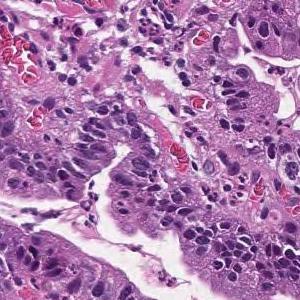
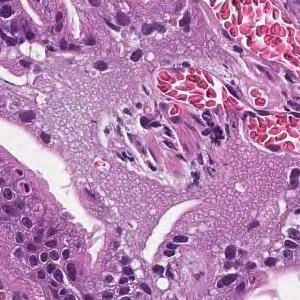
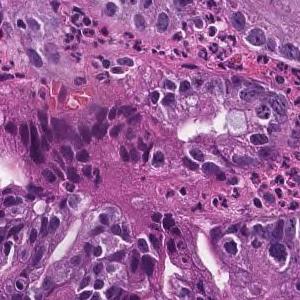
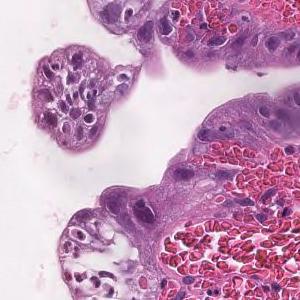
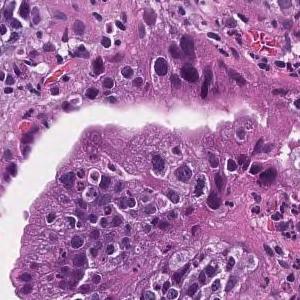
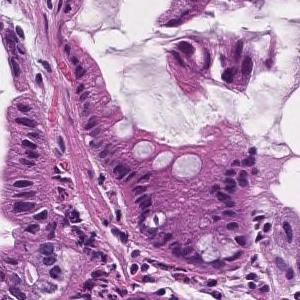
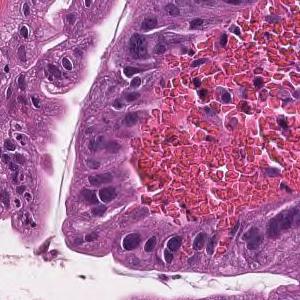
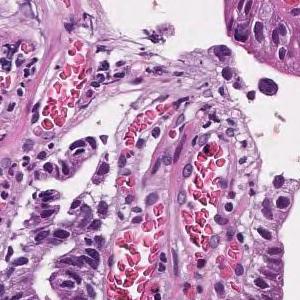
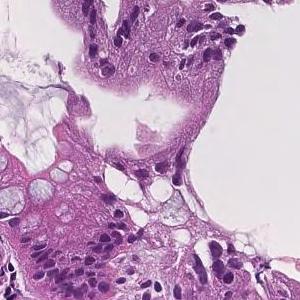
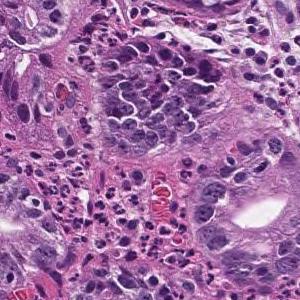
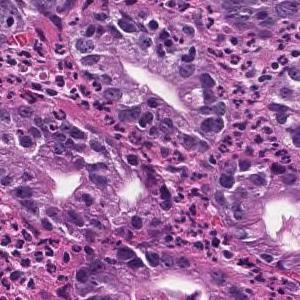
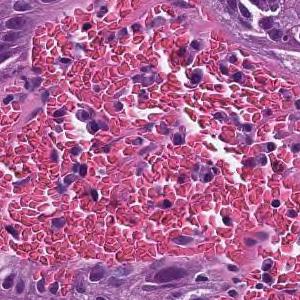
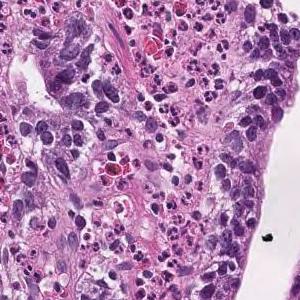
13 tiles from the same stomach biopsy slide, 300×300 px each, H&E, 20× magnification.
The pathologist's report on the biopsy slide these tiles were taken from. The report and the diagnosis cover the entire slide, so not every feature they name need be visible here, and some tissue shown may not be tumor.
Tumor cells are large, highly columnar, large club-shaped nuclei, and are associated with chromatin aggregation. Papillary adenocarcinoma.
